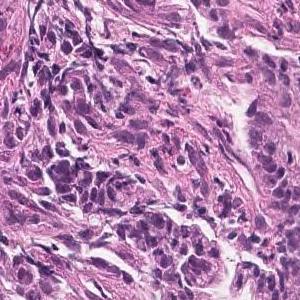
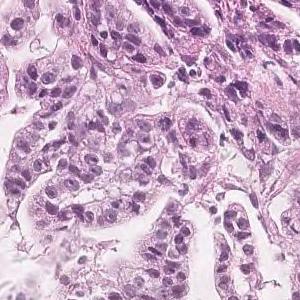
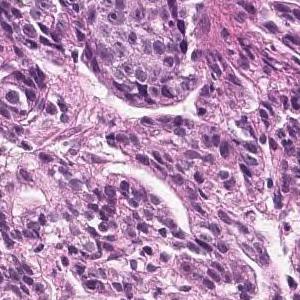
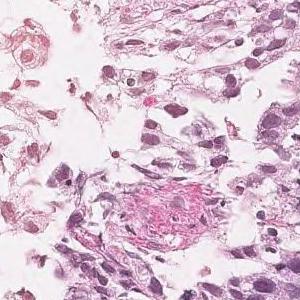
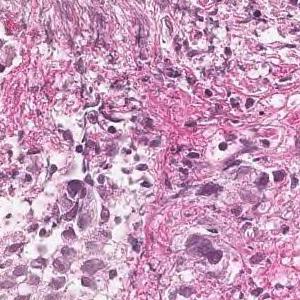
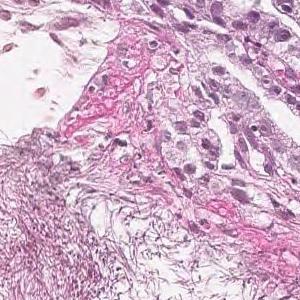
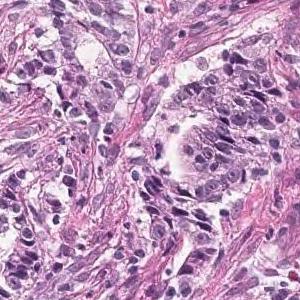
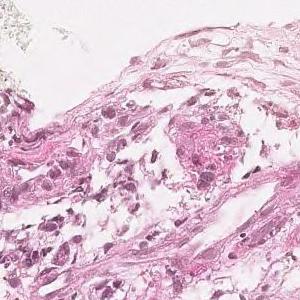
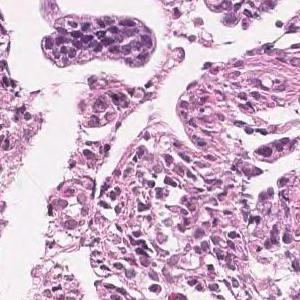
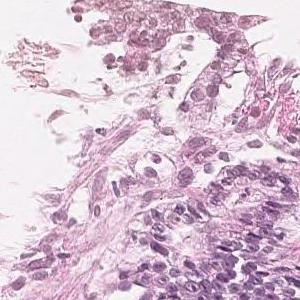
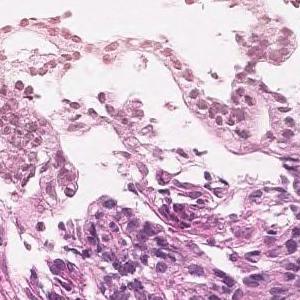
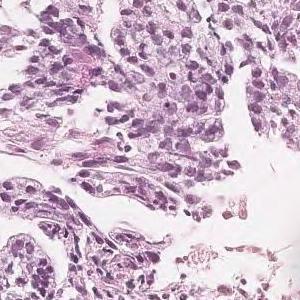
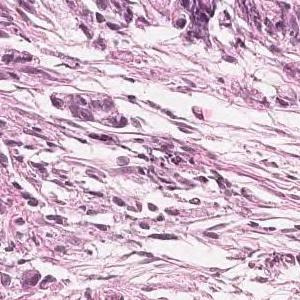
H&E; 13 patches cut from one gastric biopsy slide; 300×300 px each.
Pathology report for the biopsy slide these tiles were cut from. The report and the diagnosis cover the entire slide, so not every feature they name need be visible here, and some tissue shown may not be tumor.
Tumor tissue in which highly columnar atypical epithelial cells with nuclear enlargement and increased nuclear chromatin show papillary to papillary ductal structure and proliferate is observed. Papillary adenocarcinoma.
